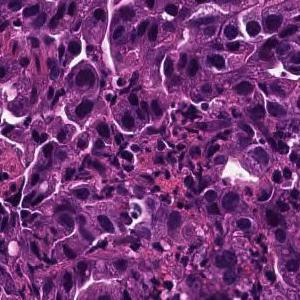
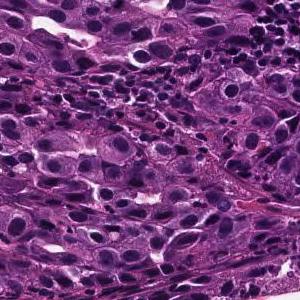
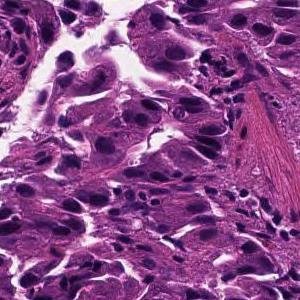
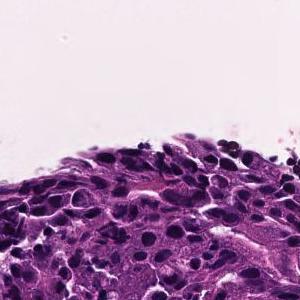
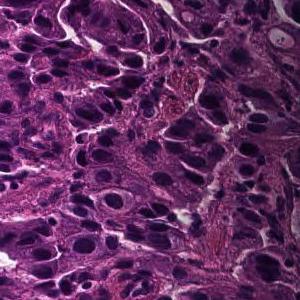
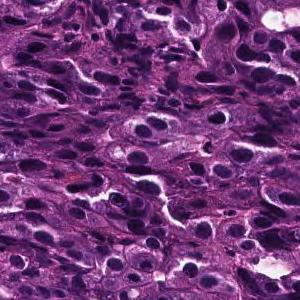
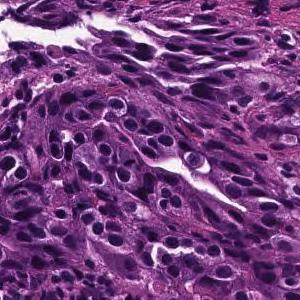
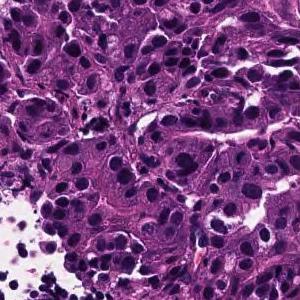
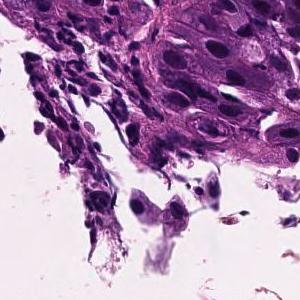
9 tiles from the same stomach biopsy slide, each 300 × 300 pixels, scanned at ×20.
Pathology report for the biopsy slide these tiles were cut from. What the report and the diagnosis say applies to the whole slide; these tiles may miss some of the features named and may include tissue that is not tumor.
Tumor tissue consisting of medium-sized, cord-like or irregular glandular fusion and infiltration is observed in the superficial epithelium. Poorly differentiated adenocarcinoma, non-solid type or moderately differentiated tubular adenocarcinoma
Tumor subtype: moderately to poorly differentiated adenocarcinoma.
The non-solid type named here is a Japanese Classification of Gastric Carcinoma category.
